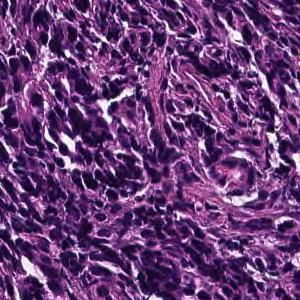
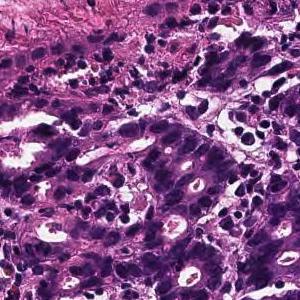
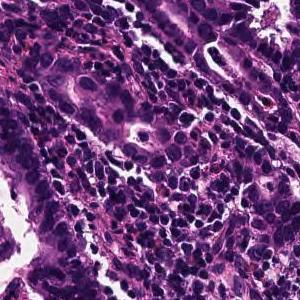
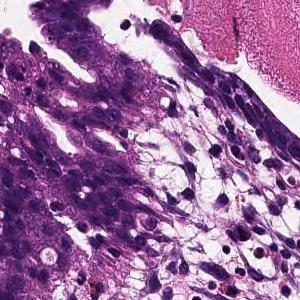
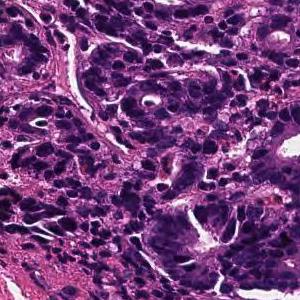
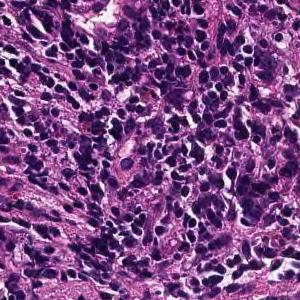
6 tiles from the same stomach biopsy slide; 300×300 px each; H&E.
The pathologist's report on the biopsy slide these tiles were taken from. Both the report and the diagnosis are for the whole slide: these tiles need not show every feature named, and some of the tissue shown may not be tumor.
On the superficial epithelium, tumor tissue is found in which medium-sized irregular gland ducts fuse with each other and infiltrate. moderately differentiated tubular adenocarcinoma or Poorly differentiated adenocarcinoma, non-solid type
Classified as moderately to poorly differentiated adenocarcinoma.
"Non-solid type" is a category of the Japanese Classification of Gastric Carcinoma.
